H&E, ×20, 13 tiles from the same stomach biopsy slide, each 300 × 300 pixels.
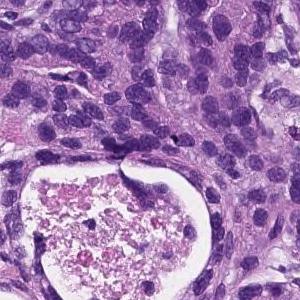
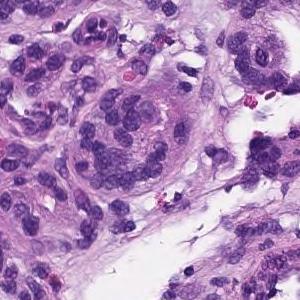
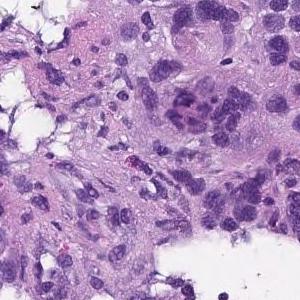
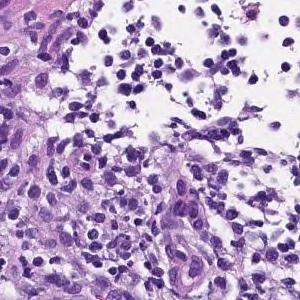
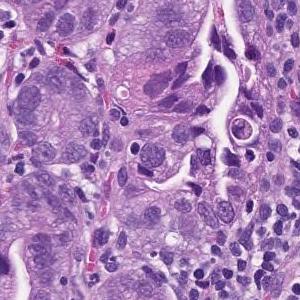
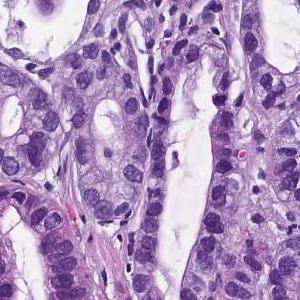
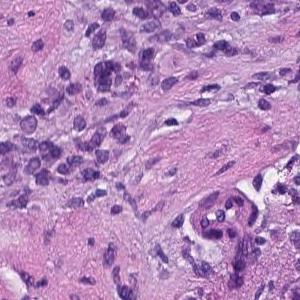
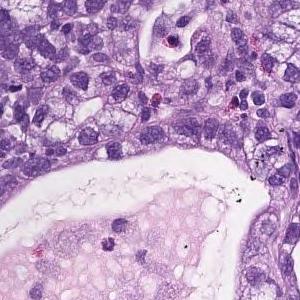
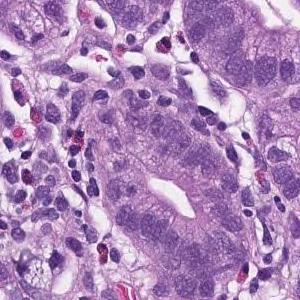
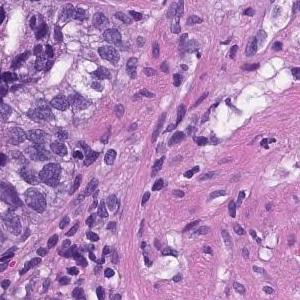
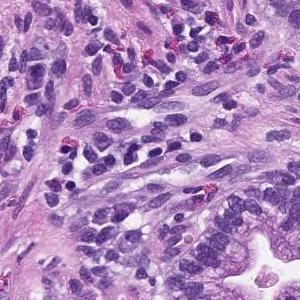
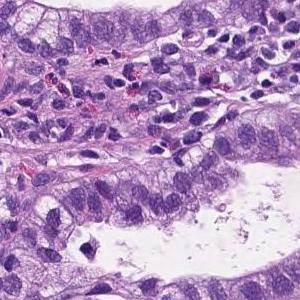
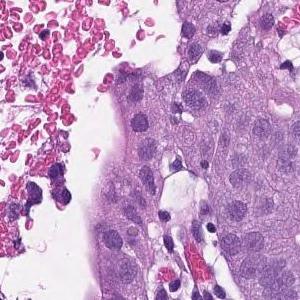
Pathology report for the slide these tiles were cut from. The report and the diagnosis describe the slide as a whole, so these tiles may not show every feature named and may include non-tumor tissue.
From the superficial epithelium to the muscularis mucosae, tumor tissue consisting of medium-sized and irregular glandular ducts infiltrating is observed. Well differentiated tubular adenocarcinoma
